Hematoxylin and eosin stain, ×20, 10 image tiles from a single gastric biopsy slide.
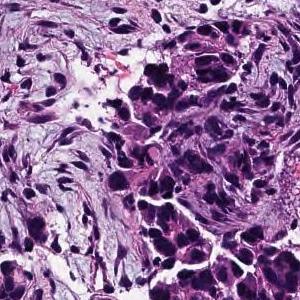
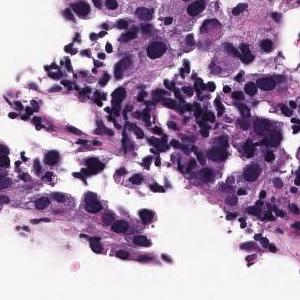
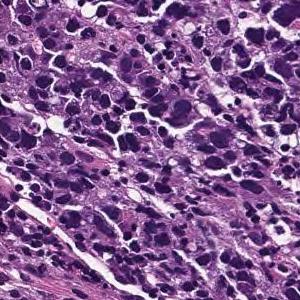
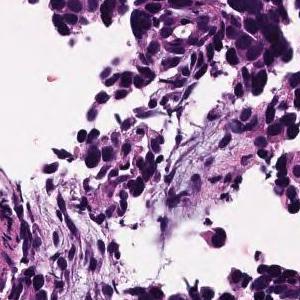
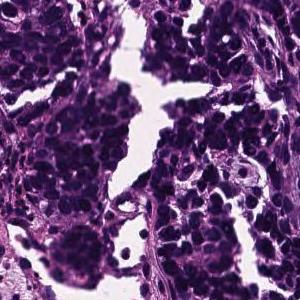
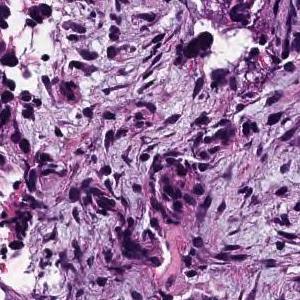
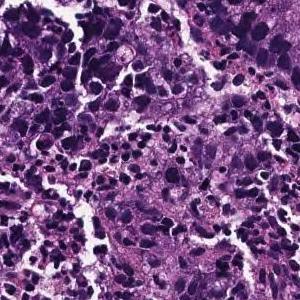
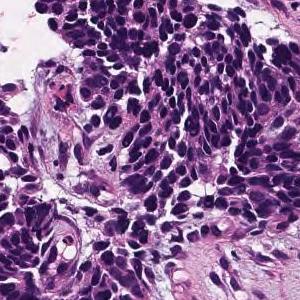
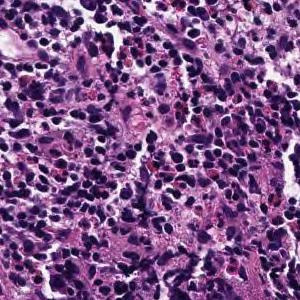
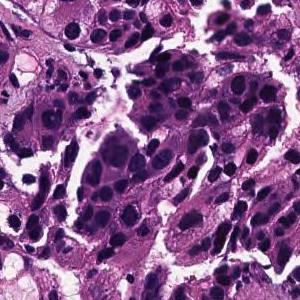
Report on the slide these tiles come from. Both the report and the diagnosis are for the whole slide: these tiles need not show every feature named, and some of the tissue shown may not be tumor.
Medium to small, irregular glandular ducts are formed in the superficial epithelium, and in some cases, the glandular ducts are fused to show solid alveolar lesions and infiltrating tumor tissue is observed. Moderately to poorly differentiated adenocarcinoma.
